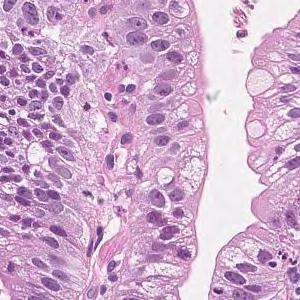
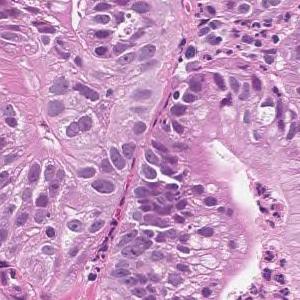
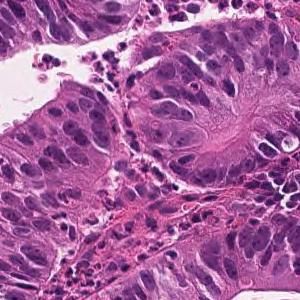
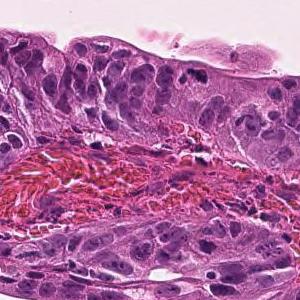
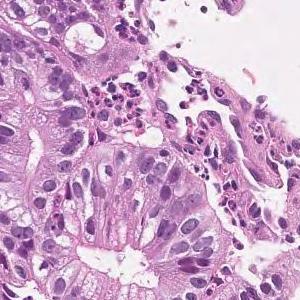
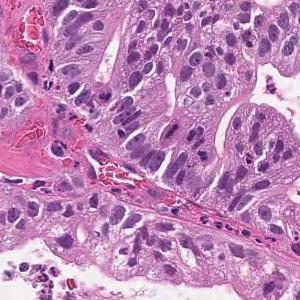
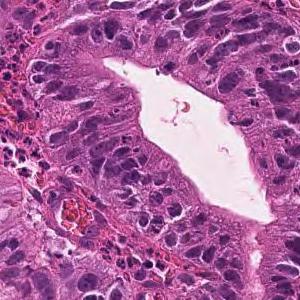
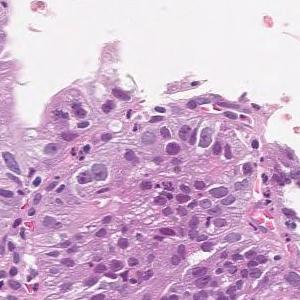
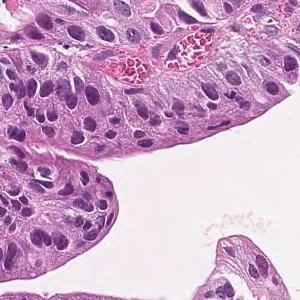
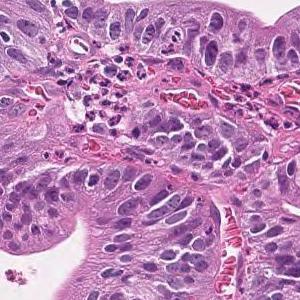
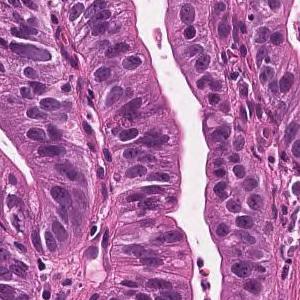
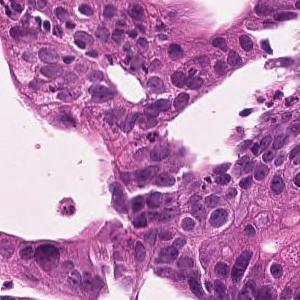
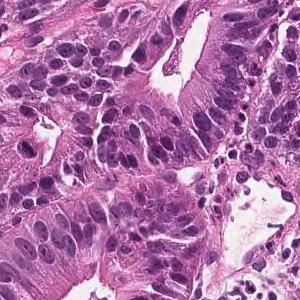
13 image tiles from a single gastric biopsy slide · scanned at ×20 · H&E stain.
Pathology report for the slide these tiles were cut from. The report and the diagnosis cover the entire slide, so not every feature they name need be visible here, and some tissue shown may not be tumor.
Tumor cells are large, highly columnar, large club-shaped nuclei, and are associated with chromatin aggregation. Papillary adenocarcinoma.
